20× magnification; hematoxylin and eosin stain; 5 tiles cut from one stomach biopsy slide; 300×300 px each.
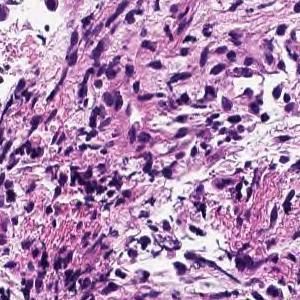
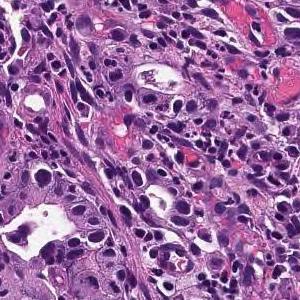
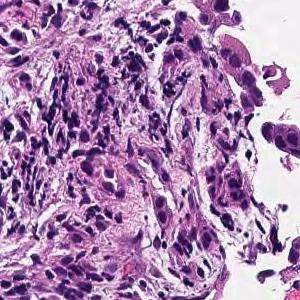
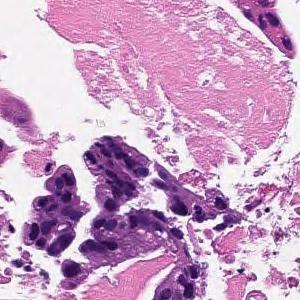
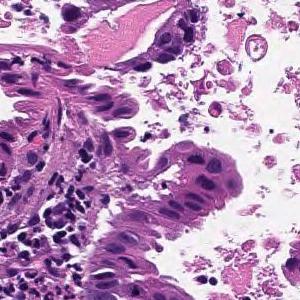
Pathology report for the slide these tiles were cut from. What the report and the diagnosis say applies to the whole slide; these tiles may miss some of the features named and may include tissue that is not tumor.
In the superficial epithelium, tumor tissue that invades by forming medium-sized to small, irregular ducts is observed. moderately differentiated tubular adenocarcinoma.
